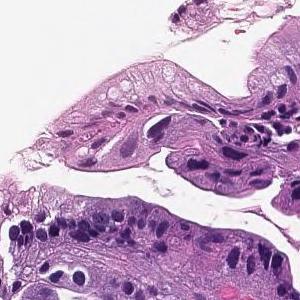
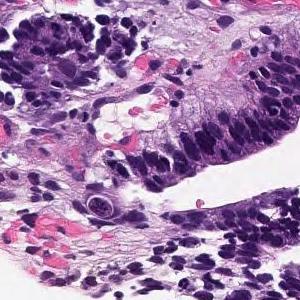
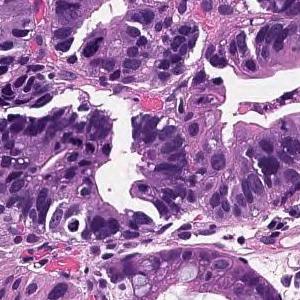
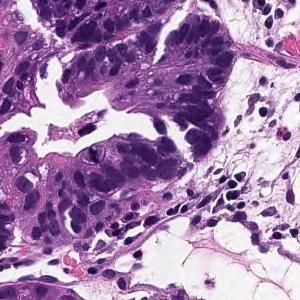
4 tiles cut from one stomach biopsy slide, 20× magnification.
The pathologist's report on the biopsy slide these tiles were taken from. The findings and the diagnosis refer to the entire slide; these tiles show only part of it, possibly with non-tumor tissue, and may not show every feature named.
From the superficial epithelium to the muscularis mucosae, tumor tissue consisting of medium-sized and irregular glandular ducts infiltrating is observed. Well differentiated tubular adenocarcinoma
